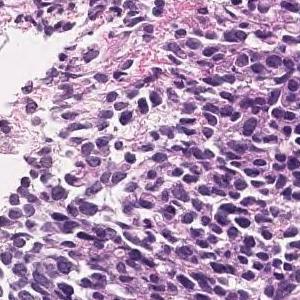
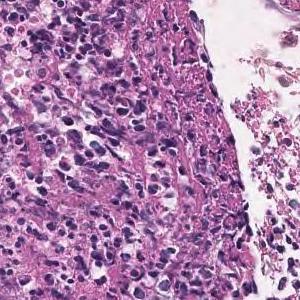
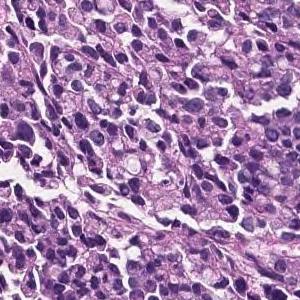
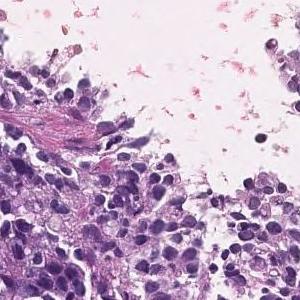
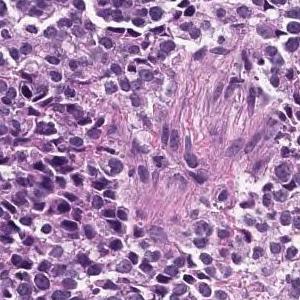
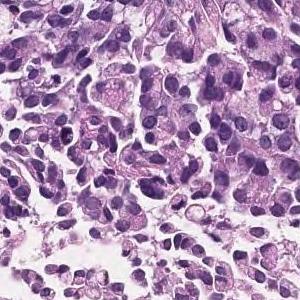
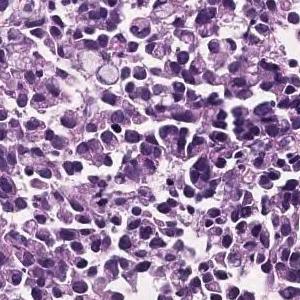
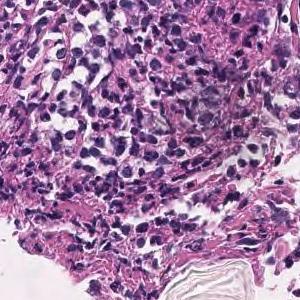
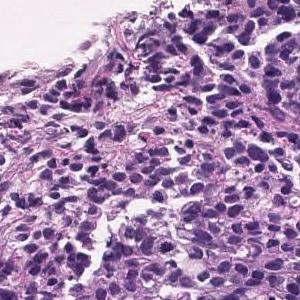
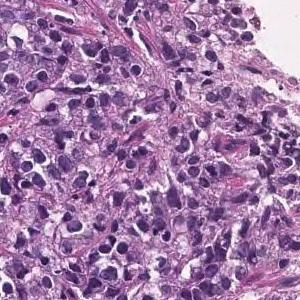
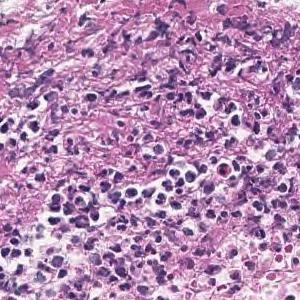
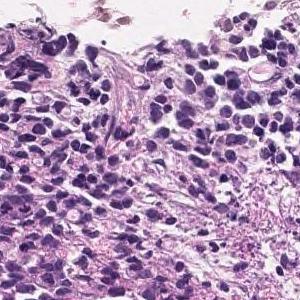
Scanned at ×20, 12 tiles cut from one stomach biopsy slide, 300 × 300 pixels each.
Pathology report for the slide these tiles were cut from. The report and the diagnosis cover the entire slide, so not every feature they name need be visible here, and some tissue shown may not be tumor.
The superficial epithelium shows a large sheet-like shape, and some tumor tissue infiltrates with small irregular ducts. Poorly differentiated adenocarcinoma, solid-type
Histological subtype: Poorly differentiated adenocarcinoma, solid type. This name comes from the Japanese Classification of Gastric Carcinoma; the WHO 2019 classification calls it tubular adenocarcinoma, poorly differentiated.
